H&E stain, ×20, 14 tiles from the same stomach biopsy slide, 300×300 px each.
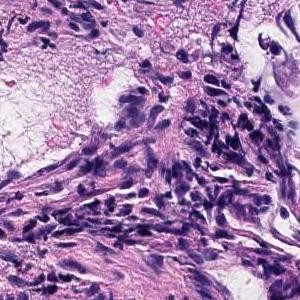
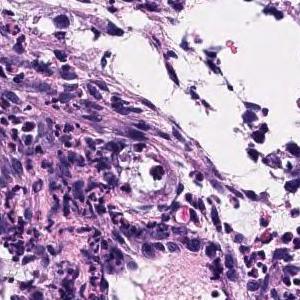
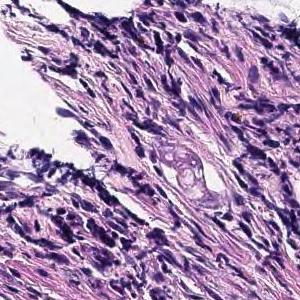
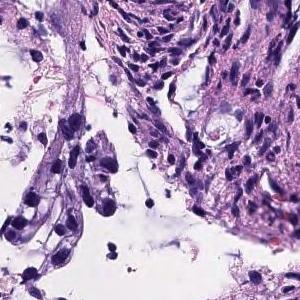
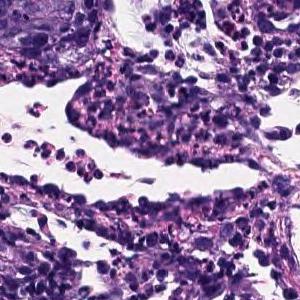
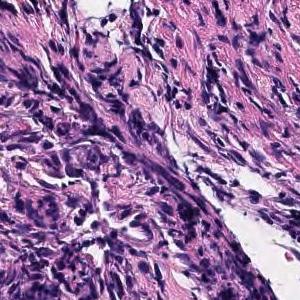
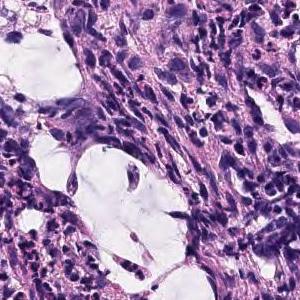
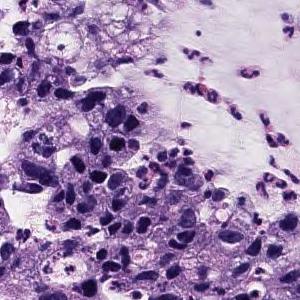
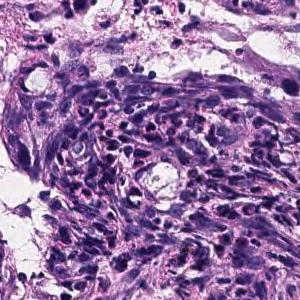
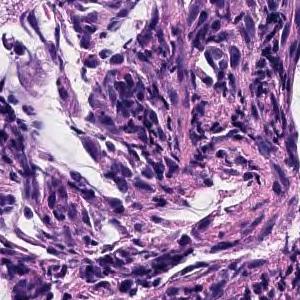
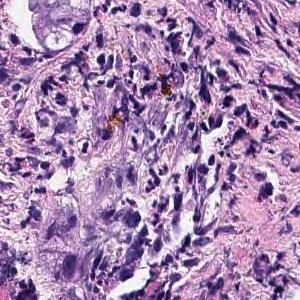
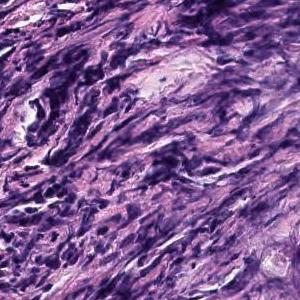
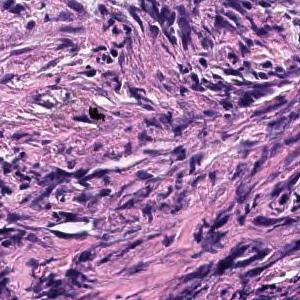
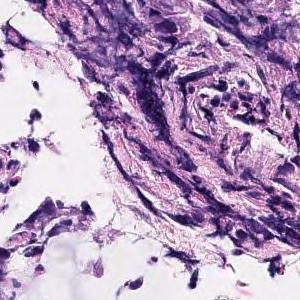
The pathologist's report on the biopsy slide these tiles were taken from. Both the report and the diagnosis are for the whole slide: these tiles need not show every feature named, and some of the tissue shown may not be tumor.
The superficial epithelium shows small cord-like infiltrating tumor tissue. Some part of neoplastic cells are signet ring cell type which show single invasion manner. Poorly differentiated adenocarcinoma, non-solid type.
The non-solid type named here is a Japanese Classification of Gastric Carcinoma category.
